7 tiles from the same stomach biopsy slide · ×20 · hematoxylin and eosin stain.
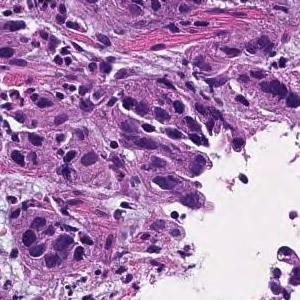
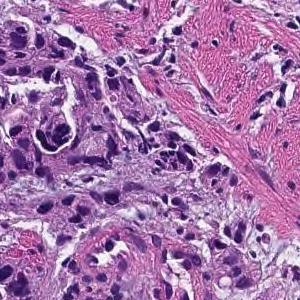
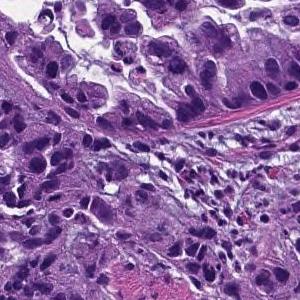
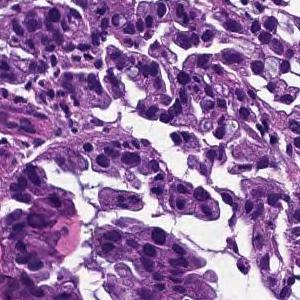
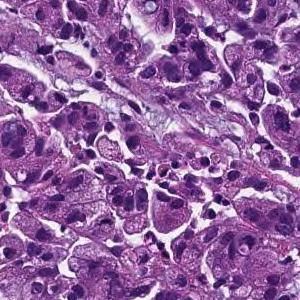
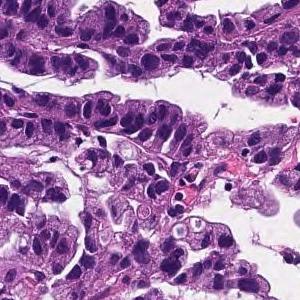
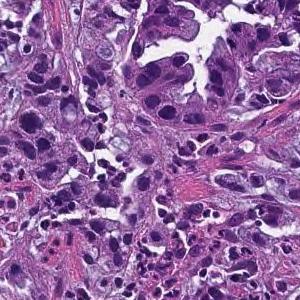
The pathologist's report on the biopsy slide these tiles were taken from. Both the report and the diagnosis are for the whole slide: these tiles need not show every feature named, and some of the tissue shown may not be tumor.
Tumor tissue consisting of medium-sized, cord-like or irregular glandular infiltration is observed in the superficial epithelium. Poorly differentiated adenocarcinoma, non-solid type or moderately differentiated tubular adenocarcinoma
Classified as moderately to poorly differentiated adenocarcinoma.
The non-solid type named here is a Japanese Classification of Gastric Carcinoma category.
